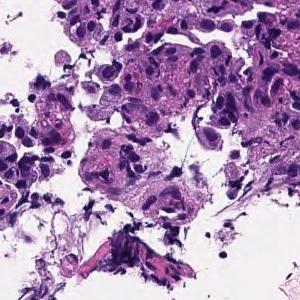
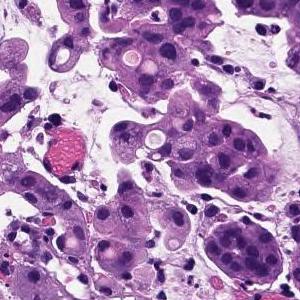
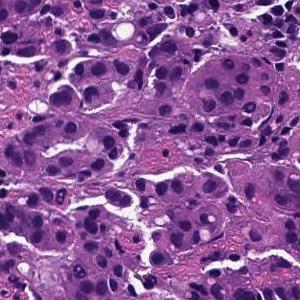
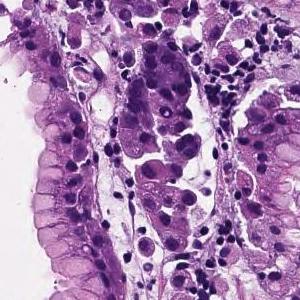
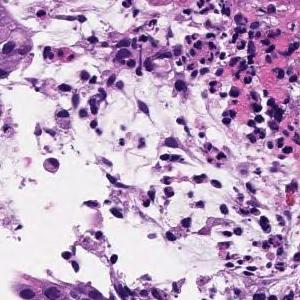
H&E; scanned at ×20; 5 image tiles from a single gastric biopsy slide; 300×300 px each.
Report on the slide these tiles come from. The findings and the diagnosis refer to the entire slide; these tiles show only part of it, possibly with non-tumor tissue, and may not show every feature named.
The superficial epithelium shows a large sheet-like shape, and some tumor tissue infiltrates with small irregular ducts. Poorly differentiated adenocarcinoma, solid-type
Tumor subtype: poorly differentiated adenocarcinoma, solid type. This name comes from the Japanese Classification of Gastric Carcinoma; the WHO 2019 classification calls it tubular adenocarcinoma, poorly differentiated.
